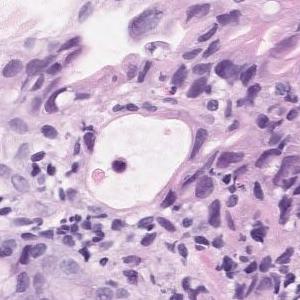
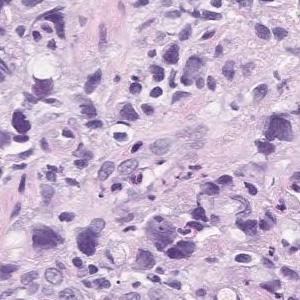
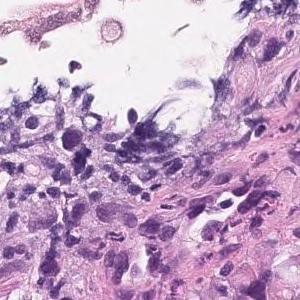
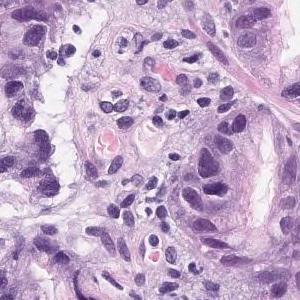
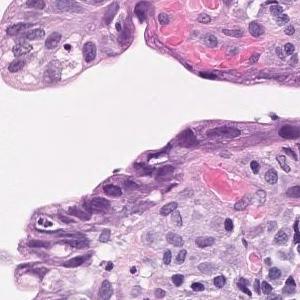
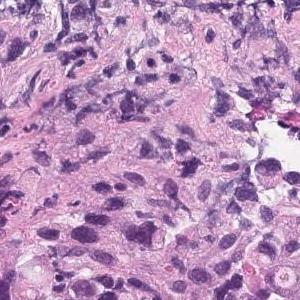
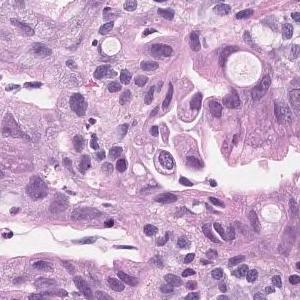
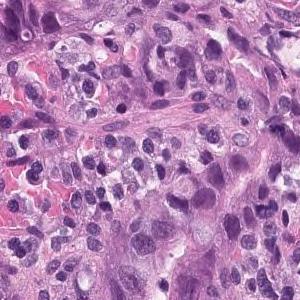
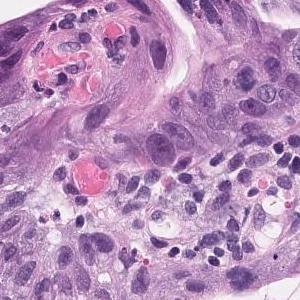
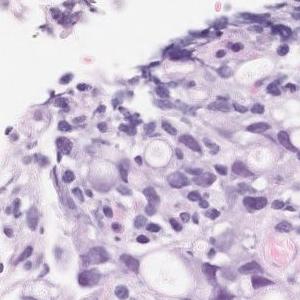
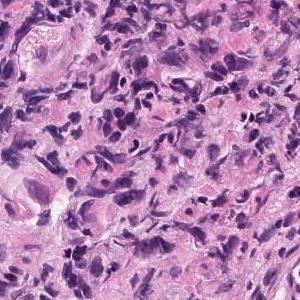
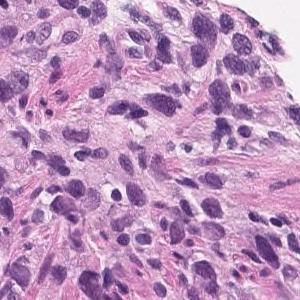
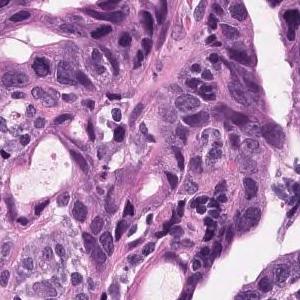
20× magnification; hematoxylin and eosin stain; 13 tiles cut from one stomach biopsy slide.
Pathology report for the biopsy slide these tiles were cut from. The report describes the whole slide, diagnosis included: not every finding it names need appear in these tiles, which may also show non-tumor tissue.
Tumor tissue consisting of medium-sized, cord-like or irregular glandular infiltration is observed in the superficial epithelium. Poorly differentiated adenocarcinoma, non-solid type or moderately differentiated tubular adenocarcinoma
The dataset labels this slide poorly differentiated adenocarcinoma, non-solid type.
The non-solid type named here is a Japanese Classification of Gastric Carcinoma category.
